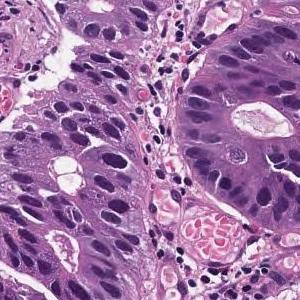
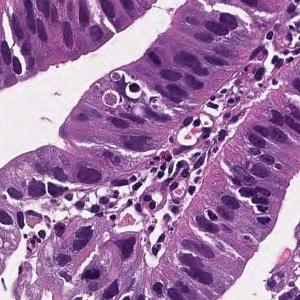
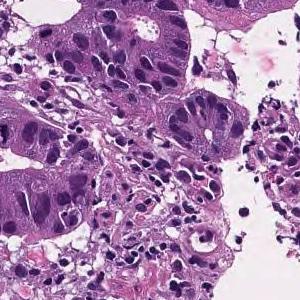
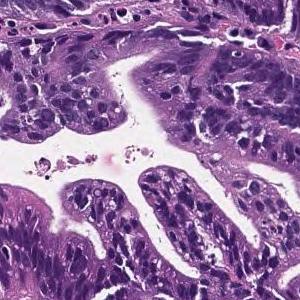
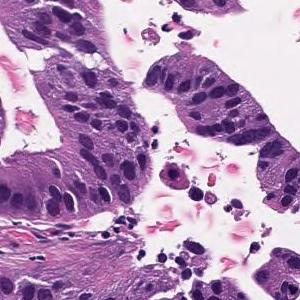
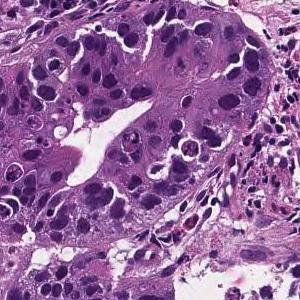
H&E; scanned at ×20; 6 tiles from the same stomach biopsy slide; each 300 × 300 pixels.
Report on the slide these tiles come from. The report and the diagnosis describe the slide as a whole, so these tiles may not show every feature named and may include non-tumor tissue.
Tumor cells are large, highly columnar, large club-shaped nuclei, and are associated with chromatin aggregation. Papillary adenocarcinoma.
